5 image tiles from a single gastric biopsy slide; each 300 × 300 pixels; H&E; ×20.
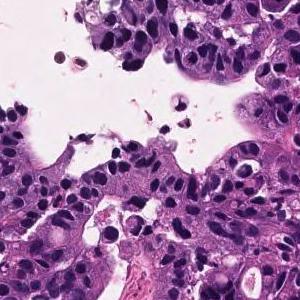
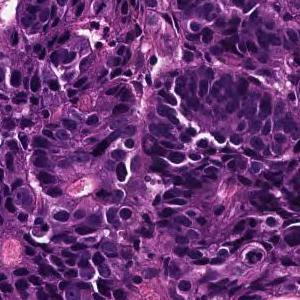
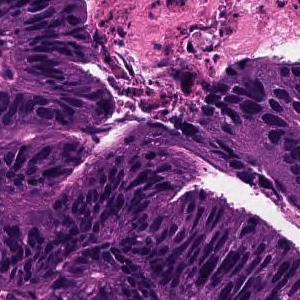
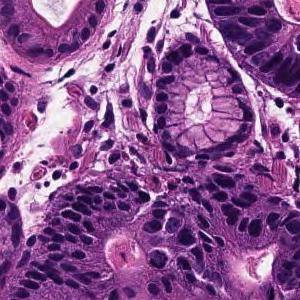
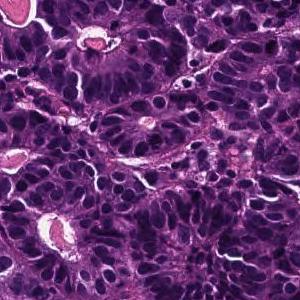
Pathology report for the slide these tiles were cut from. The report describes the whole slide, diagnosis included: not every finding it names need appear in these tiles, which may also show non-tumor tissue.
In the superficial epithelium, tumor tissue that invades by forming medium-sized to small, irregular ducts is observed. moderately differentiated tubular adenocarcinoma.
